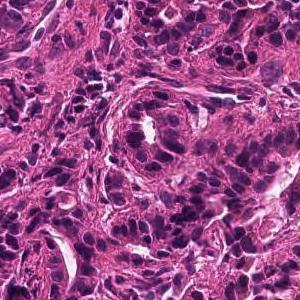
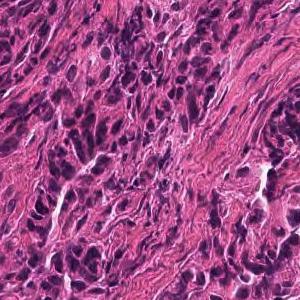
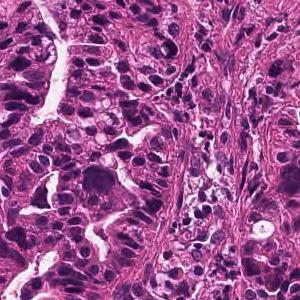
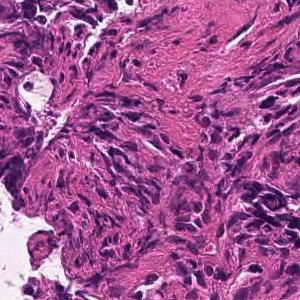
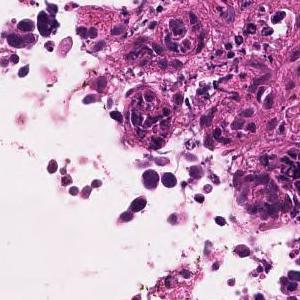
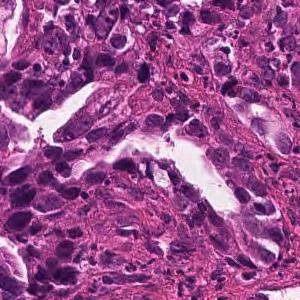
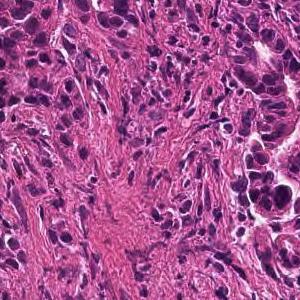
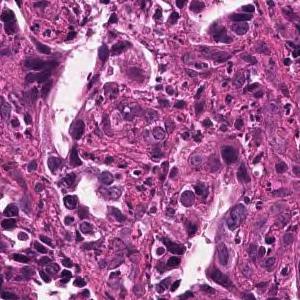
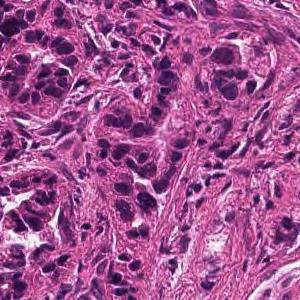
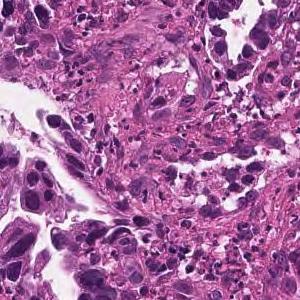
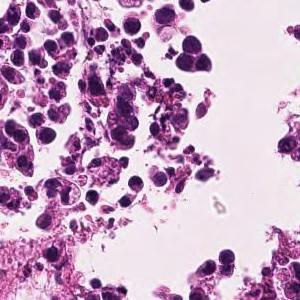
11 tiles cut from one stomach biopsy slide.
Pathology report for the biopsy slide these tiles were cut from. Both the report and the diagnosis are for the whole slide: these tiles need not show every feature named, and some of the tissue shown may not be tumor.
In the superficial epithelium, tumor tissue that invades by forming medium-sized to small, irregular ducts is observed. moderately differentiated tubular adenocarcinoma.
